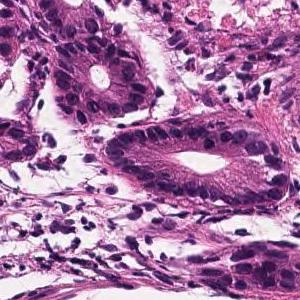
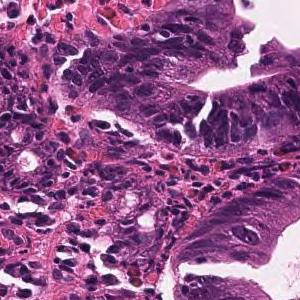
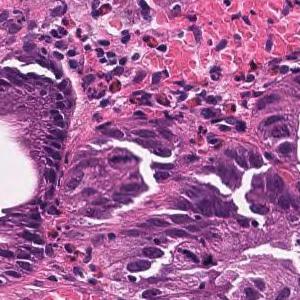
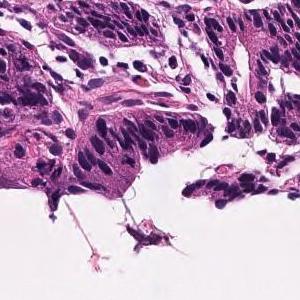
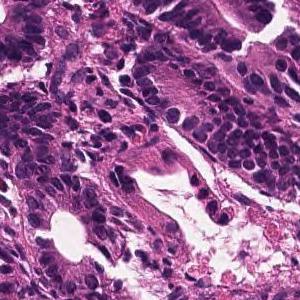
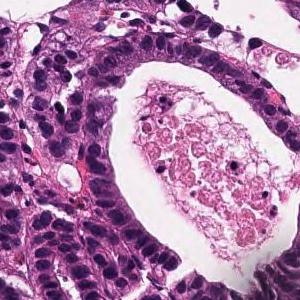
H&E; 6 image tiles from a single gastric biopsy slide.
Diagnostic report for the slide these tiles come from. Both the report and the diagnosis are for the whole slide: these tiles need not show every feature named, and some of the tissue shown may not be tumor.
Atypical epithelium with nuclear swelling is seen to form and proliferate large and small ducts, often with necrosis in the lumen. Well differentiated tubular adenocarcinoma
